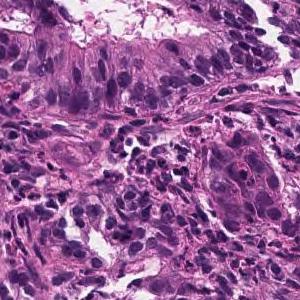
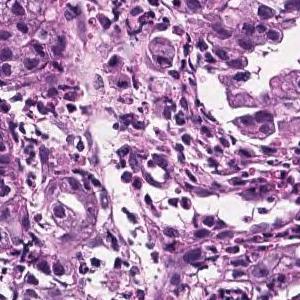
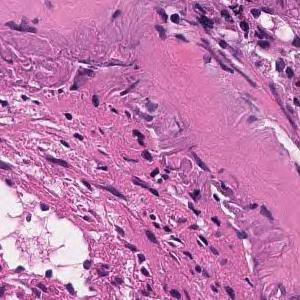
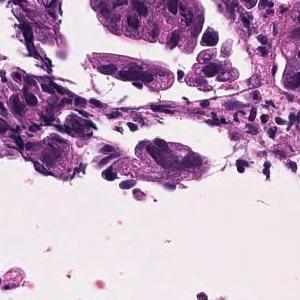
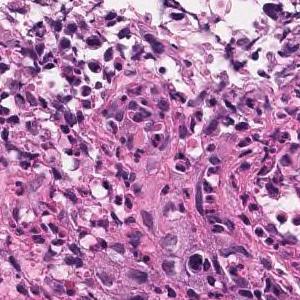
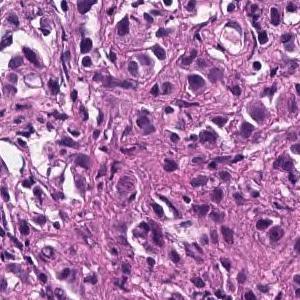
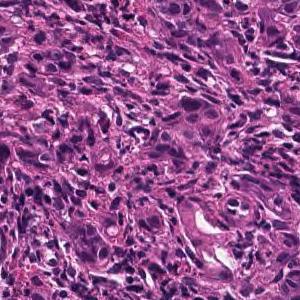
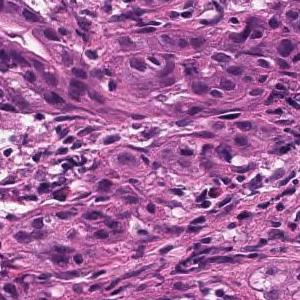
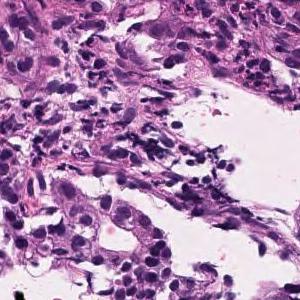
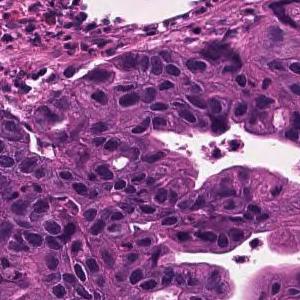
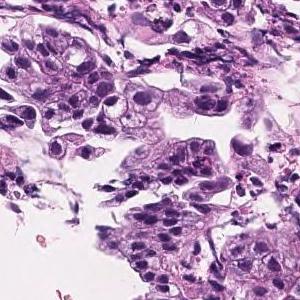
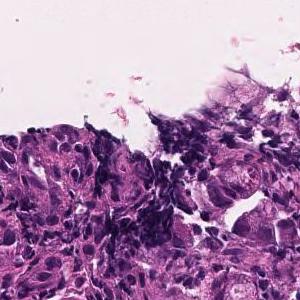
Scanned at ×20; 12 tiles cut from one stomach biopsy slide; each 300 × 300 pixels.
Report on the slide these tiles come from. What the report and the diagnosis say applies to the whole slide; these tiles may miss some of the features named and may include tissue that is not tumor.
Tumor tissue consisting of medium-sized, cord-like or irregular glandular infiltration is observed in the superficial epithelium. Poorly differentiated adenocarcinoma, non-solid type or moderately differentiated tubular adenocarcinoma
"Non-solid type" is a category of the Japanese Classification of Gastric Carcinoma.
